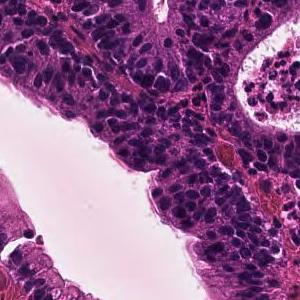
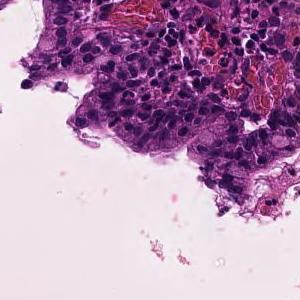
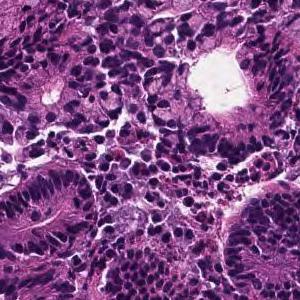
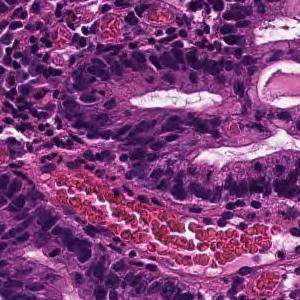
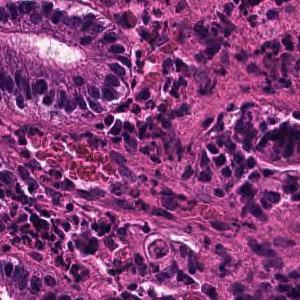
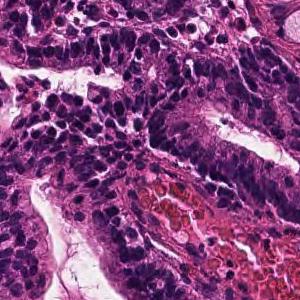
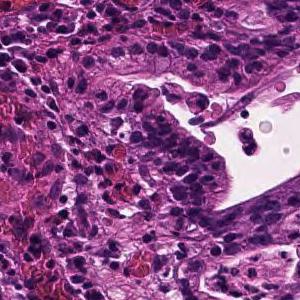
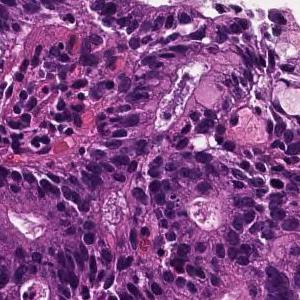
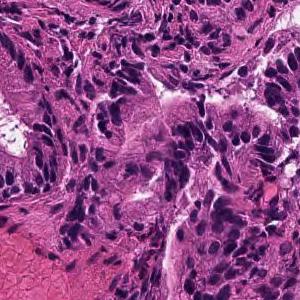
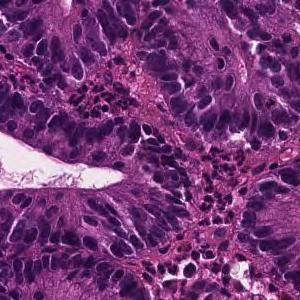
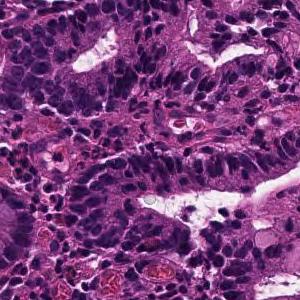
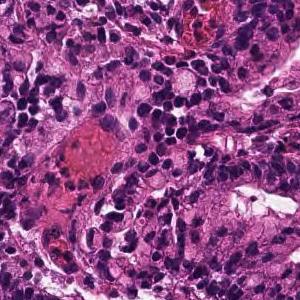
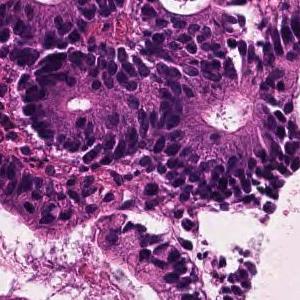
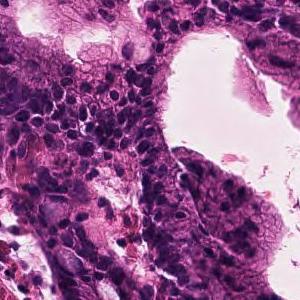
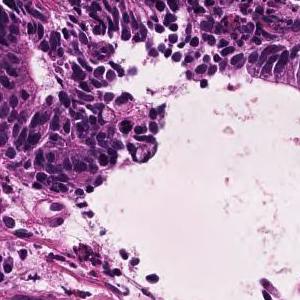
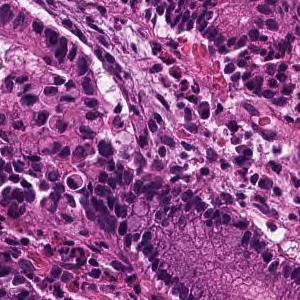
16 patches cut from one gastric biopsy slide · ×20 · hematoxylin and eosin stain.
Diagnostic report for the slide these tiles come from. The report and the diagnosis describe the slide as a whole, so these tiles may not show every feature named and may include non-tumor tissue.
In the superficial epithelium, tumor tissue that invades by forming medium-sized to small, irregular ducts is observed. moderately differentiated tubular adenocarcinoma.
